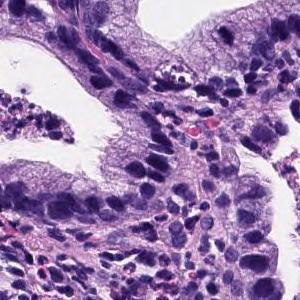
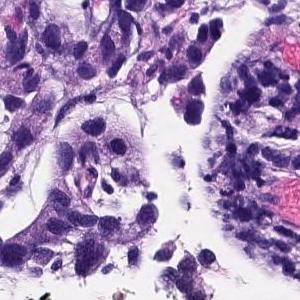
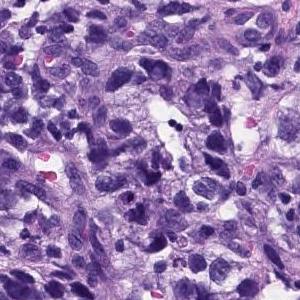
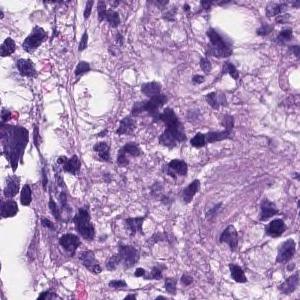
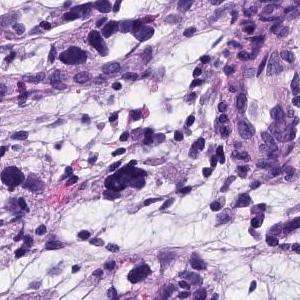
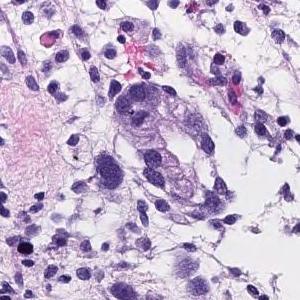
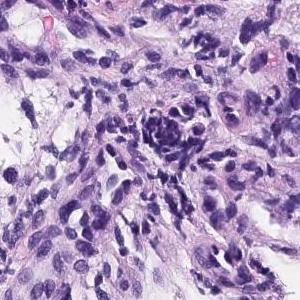
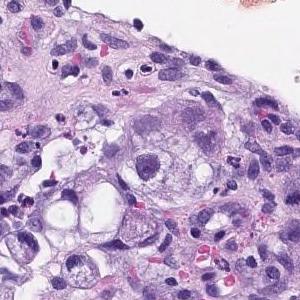
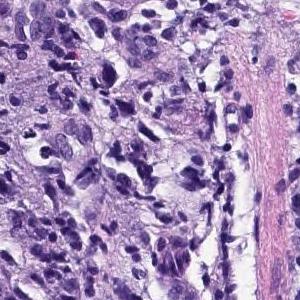
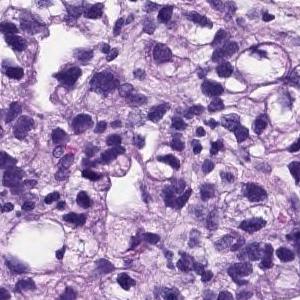
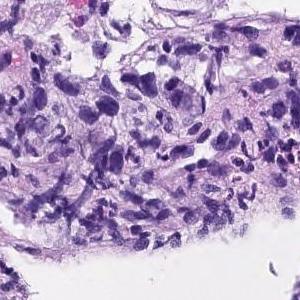
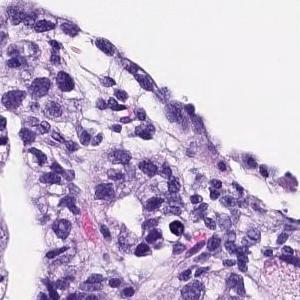
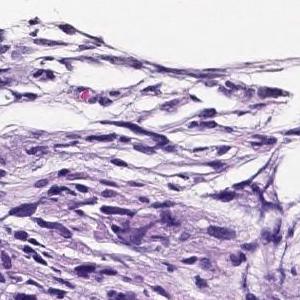
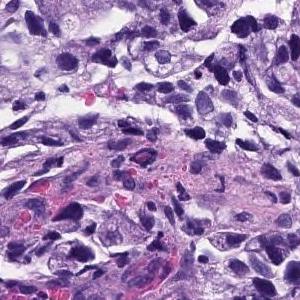
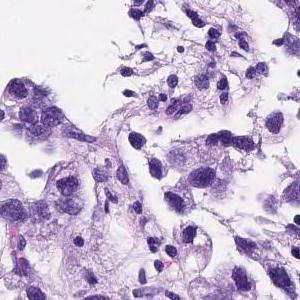
15 tiles cut from one stomach biopsy slide, 300 × 300 pixels each, hematoxylin and eosin stain.
Report on the slide these tiles come from. The report describes the whole slide, diagnosis included: not every finding it names need appear in these tiles, which may also show non-tumor tissue.
Medium to small, irregular glandular ducts are formed in the superficial epithelium, and in some cases, the glandular ducts are fused to show solid alveolar lesions and infiltrating tumor tissue is observed. Poorly differentiated adenocarcinoma, Moderately differentiated adenocarcinoma.
The dataset labels this slide moderately differentiated tubular adenocarcinoma.
